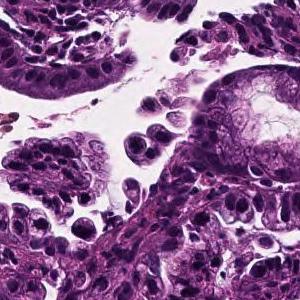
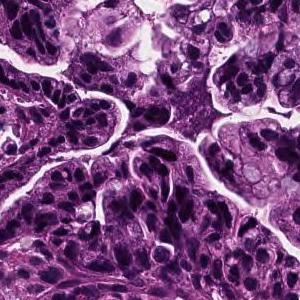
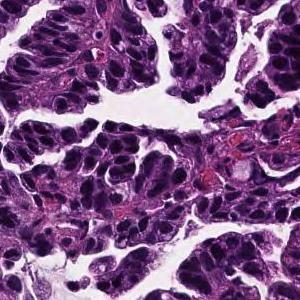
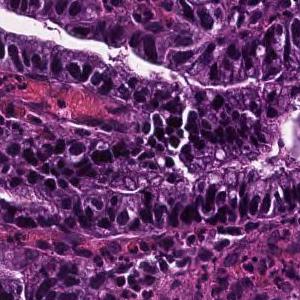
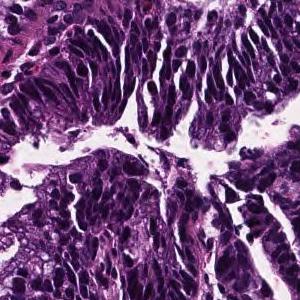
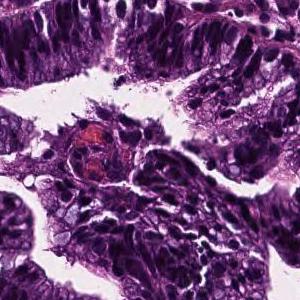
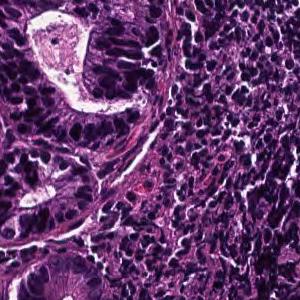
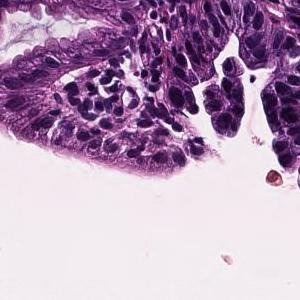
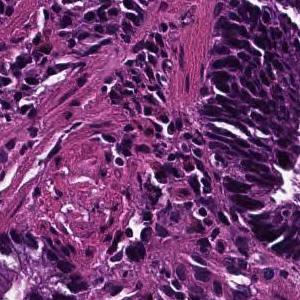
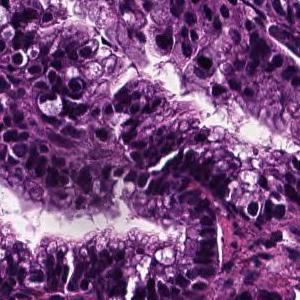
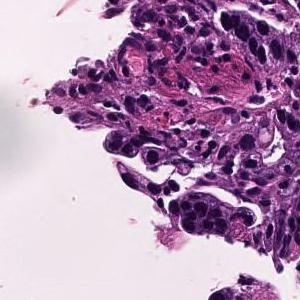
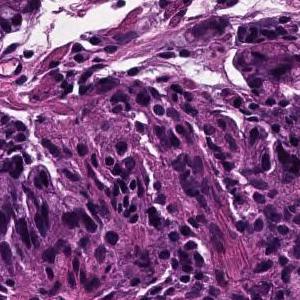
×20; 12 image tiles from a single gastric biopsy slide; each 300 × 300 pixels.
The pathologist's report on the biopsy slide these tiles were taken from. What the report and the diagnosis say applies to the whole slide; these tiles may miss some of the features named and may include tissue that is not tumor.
In the superficial epithelium, tumor tissue that invades by forming medium-sized to small, irregular ducts is observed. Well differentiated tubular adenocarcinoma.
